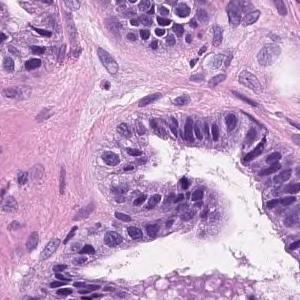
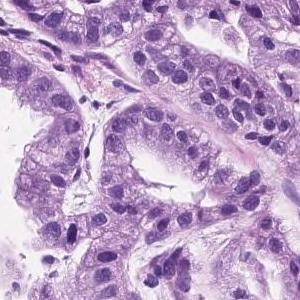
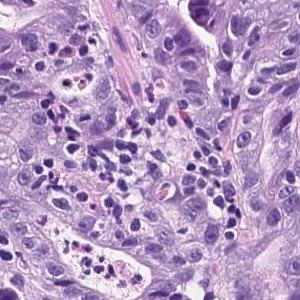
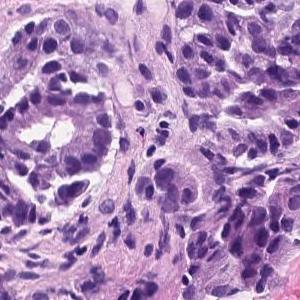
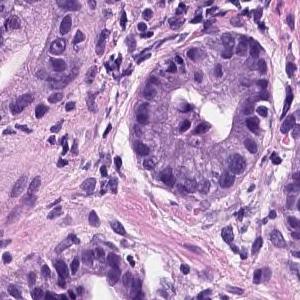
H&E stain; 20× magnification; 5 tiles cut from one stomach biopsy slide.
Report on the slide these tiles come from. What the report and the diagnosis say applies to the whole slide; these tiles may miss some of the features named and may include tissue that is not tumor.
Tumor tissue consisting of medium-sized and irregular ducts is observed infiltrating in the superficial epithelium. Tumor cells are highly columnar, with nuclei aligned basolaterally and polarized. Well differentiated tubular adenocarcinoma.
